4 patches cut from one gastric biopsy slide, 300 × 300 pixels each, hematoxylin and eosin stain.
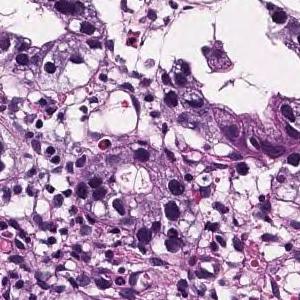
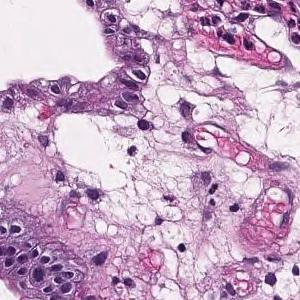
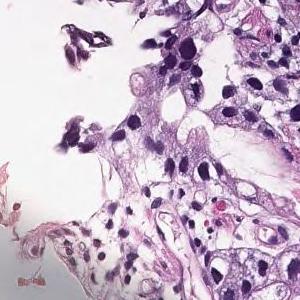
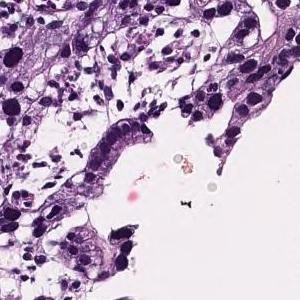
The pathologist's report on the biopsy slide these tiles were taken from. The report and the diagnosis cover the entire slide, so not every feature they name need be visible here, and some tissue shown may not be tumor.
In the superficial epithelium, medium to small irregular gland ducts are formed, and in some cases, the ducts are fused to show solid alveolar lesions and infiltrating tumor tissue is observed. Moderately to poorly differentiated adenocarcinoma
